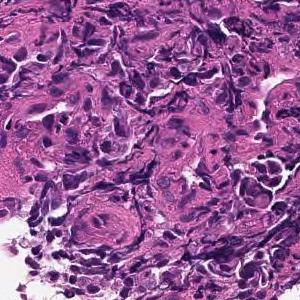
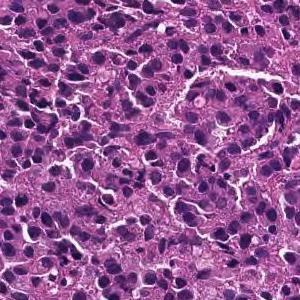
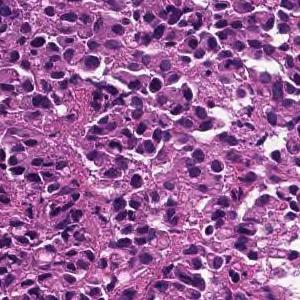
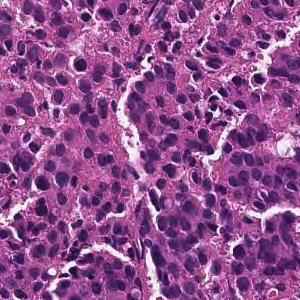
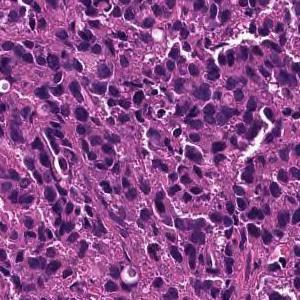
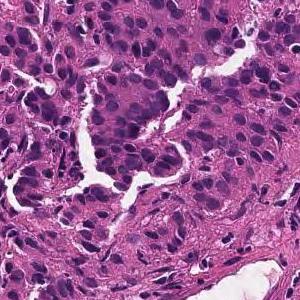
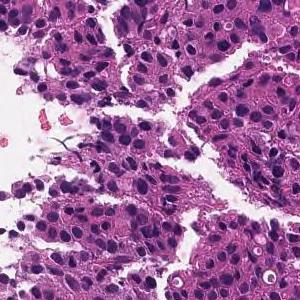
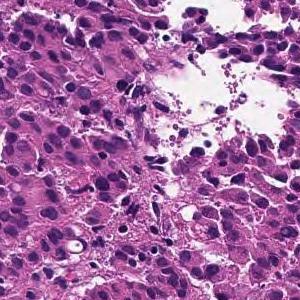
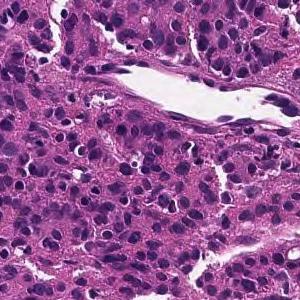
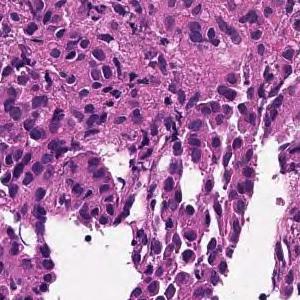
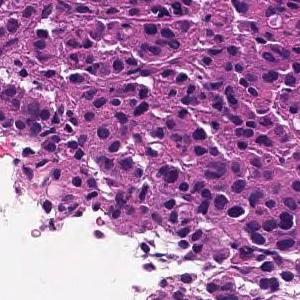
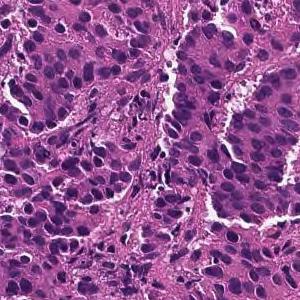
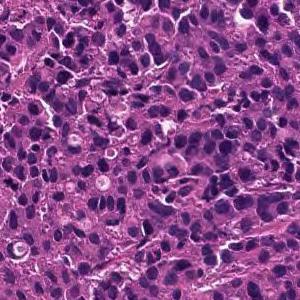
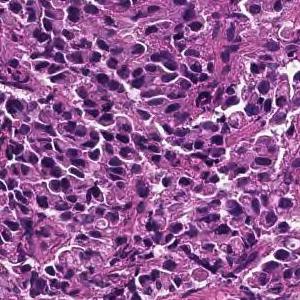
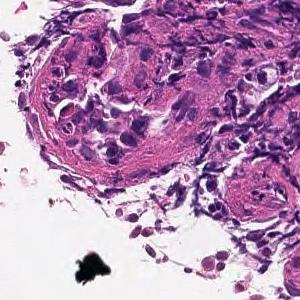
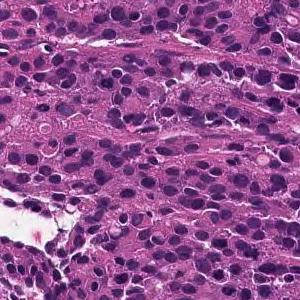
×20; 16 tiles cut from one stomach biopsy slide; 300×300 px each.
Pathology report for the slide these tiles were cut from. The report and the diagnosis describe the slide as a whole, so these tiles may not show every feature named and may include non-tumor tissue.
The superficial epithelium shows a large sheet-like shape, and some tumor tissue infiltrates with small irregular ducts. Poorly differentiated adenocarcinoma, solid-type
Tumor subtype: poorly differentiated adenocarcinoma, solid type, a category of the Japanese Classification of Gastric Carcinoma; in the WHO 2019 classification it is tubular adenocarcinoma, poorly differentiated.
